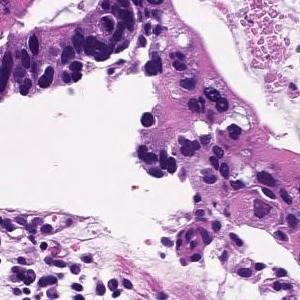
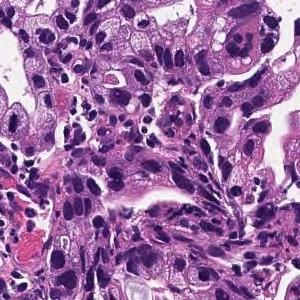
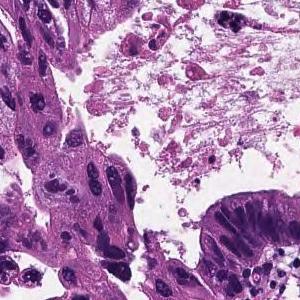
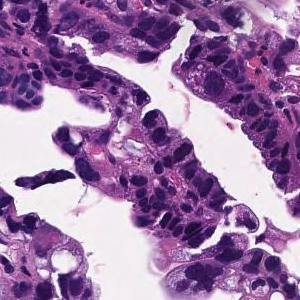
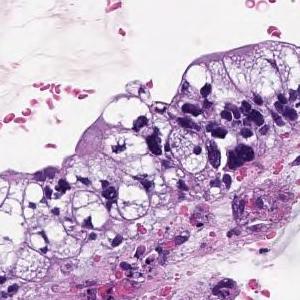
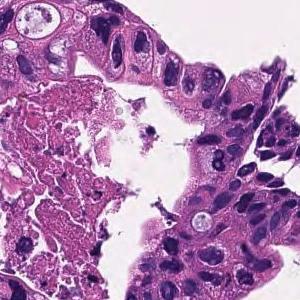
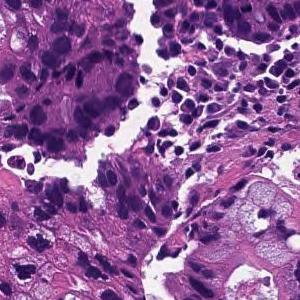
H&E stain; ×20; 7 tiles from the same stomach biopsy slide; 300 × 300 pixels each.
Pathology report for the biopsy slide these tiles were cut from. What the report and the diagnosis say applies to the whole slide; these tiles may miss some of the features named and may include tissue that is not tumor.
In the superficial epithelium, tumor tissue that invades by forming medium-sized to small, irregular ducts is observed. moderately differentiated tubular adenocarcinoma.
